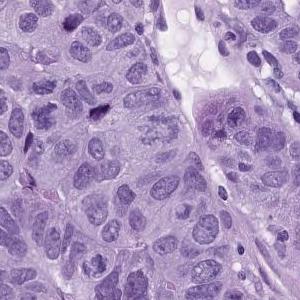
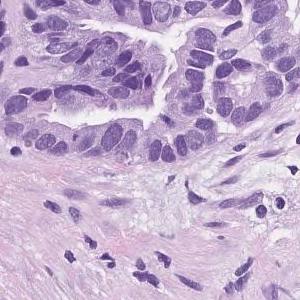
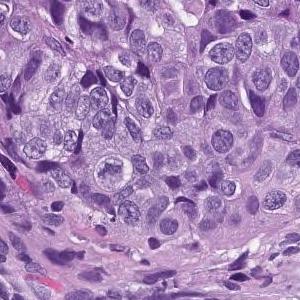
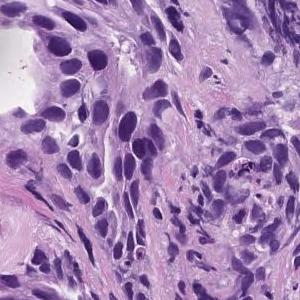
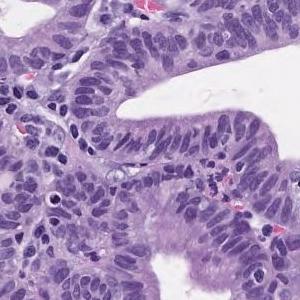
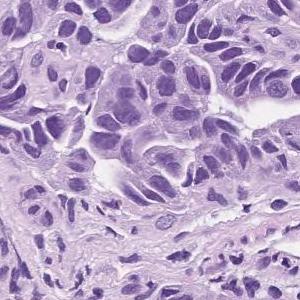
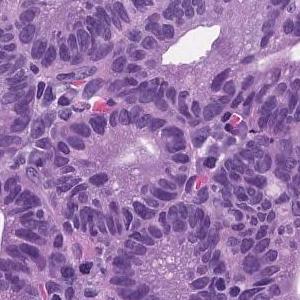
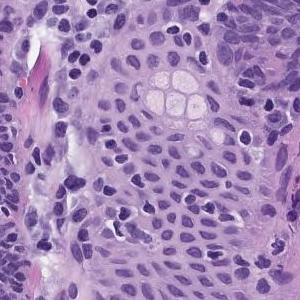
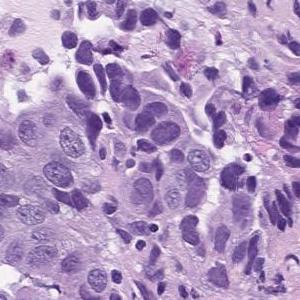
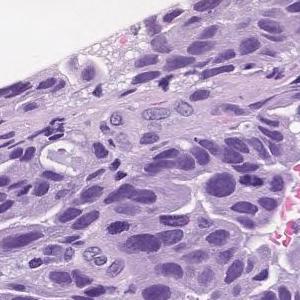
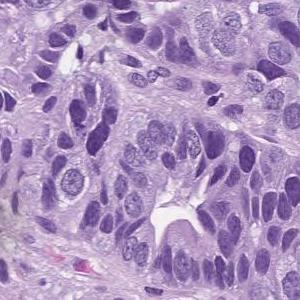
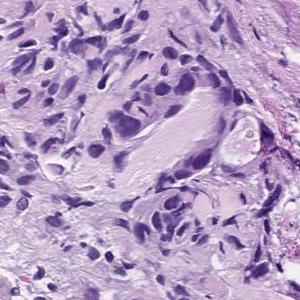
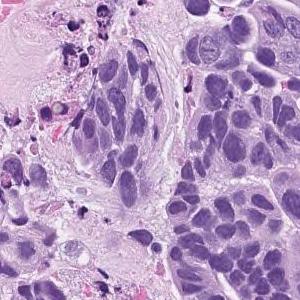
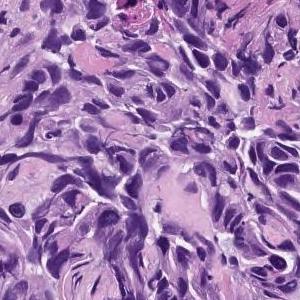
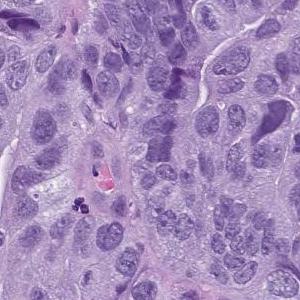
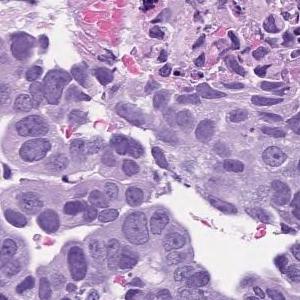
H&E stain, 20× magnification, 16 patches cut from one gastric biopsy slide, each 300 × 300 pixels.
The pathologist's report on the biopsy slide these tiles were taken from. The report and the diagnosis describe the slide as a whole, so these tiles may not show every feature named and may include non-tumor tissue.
In the superficial epithelium, tumor tissue that invades by forming medium-sized to small, irregular ducts is observed. moderately differentiated tubular adenocarcinoma.
